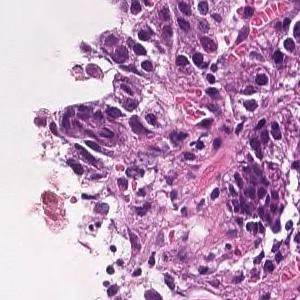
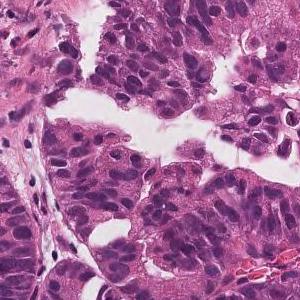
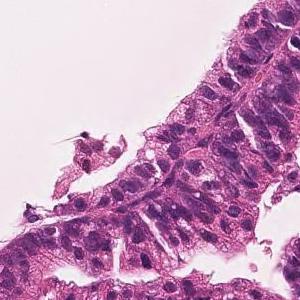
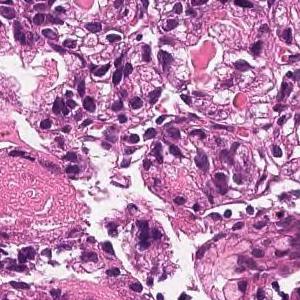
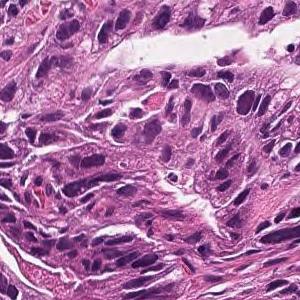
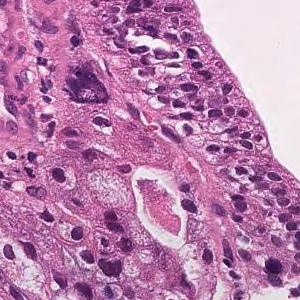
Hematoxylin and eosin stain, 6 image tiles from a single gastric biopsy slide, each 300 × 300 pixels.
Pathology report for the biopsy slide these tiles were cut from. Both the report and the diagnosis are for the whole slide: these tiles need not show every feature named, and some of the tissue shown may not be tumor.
On the superficial epithelium, tumor tissue consisting of large, irregular glandular ducts partially fused and infiltrated is observed. Well to moderately differentiated tubular adenocarcinoma (well differentiated tubular adenocarcinoma, moderately differentiated tubular adenocarcinoma)
Histologic type: Well to moderately differentiated tubular adenocarcinoma.
